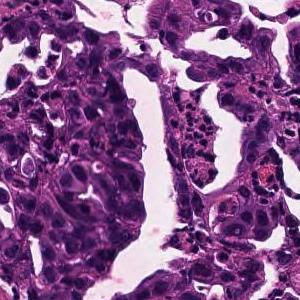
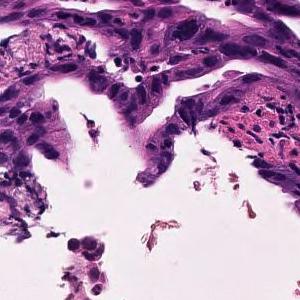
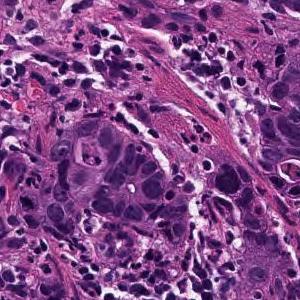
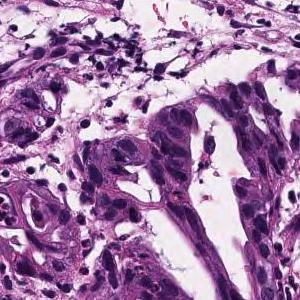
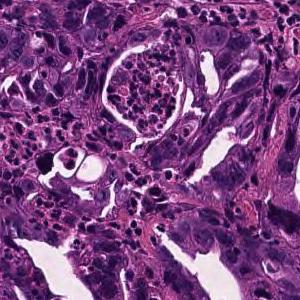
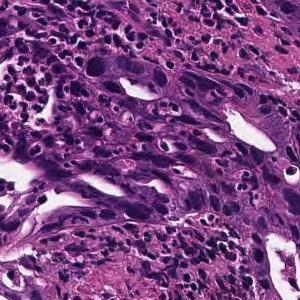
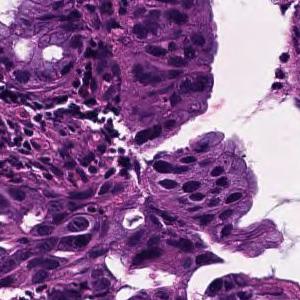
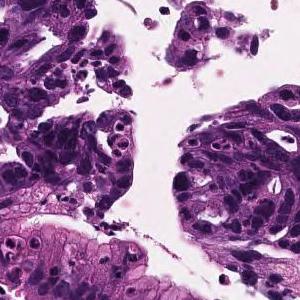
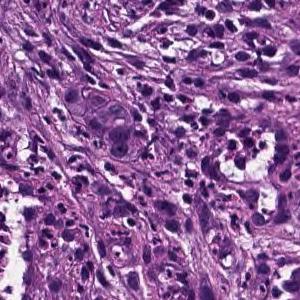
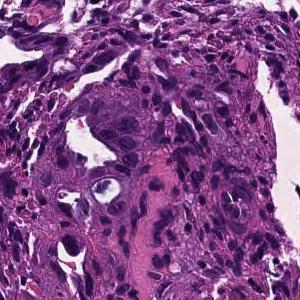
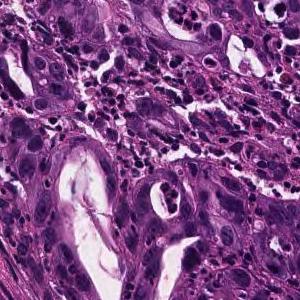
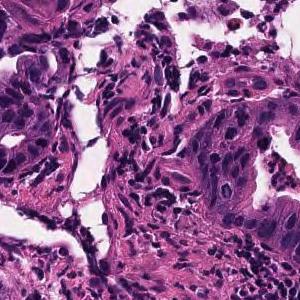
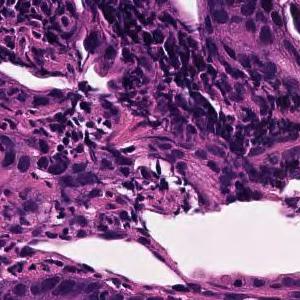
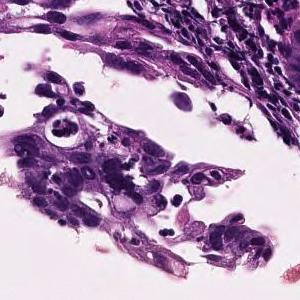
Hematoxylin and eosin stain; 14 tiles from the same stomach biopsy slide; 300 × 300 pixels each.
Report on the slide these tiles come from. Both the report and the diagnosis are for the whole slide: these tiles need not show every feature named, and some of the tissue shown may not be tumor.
In the superficial epithelium, medium-sized to small irregular glandular ducts are formed, and in some cases, the glandular ducts are fused or small cord-like infiltrating tumor tissue is observed. moderately differentiated tubular adenocarcinoma
